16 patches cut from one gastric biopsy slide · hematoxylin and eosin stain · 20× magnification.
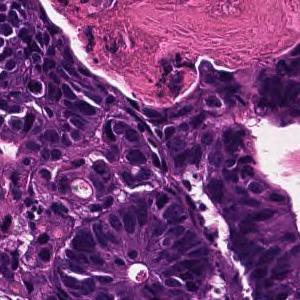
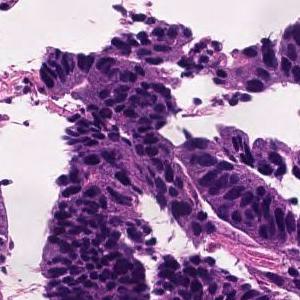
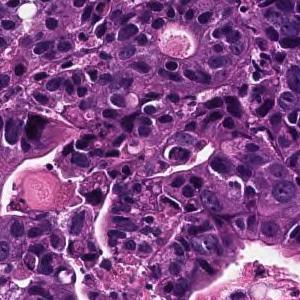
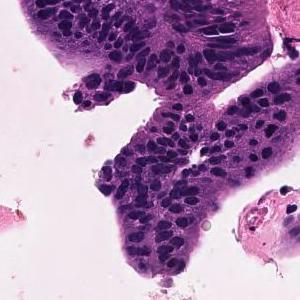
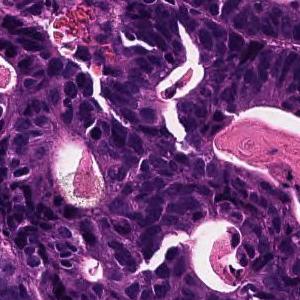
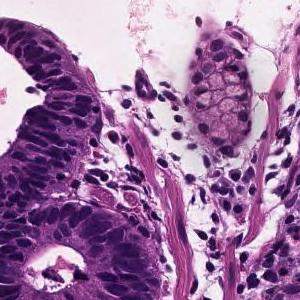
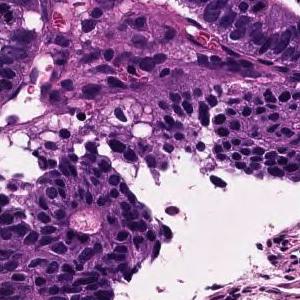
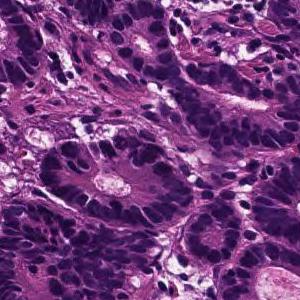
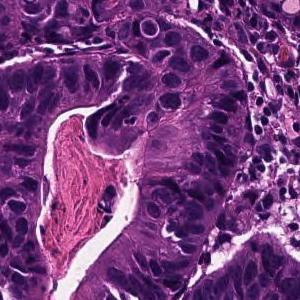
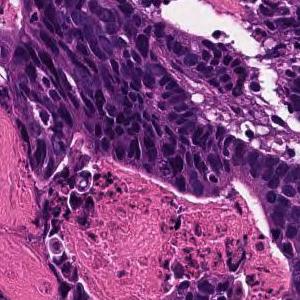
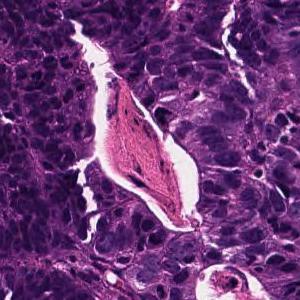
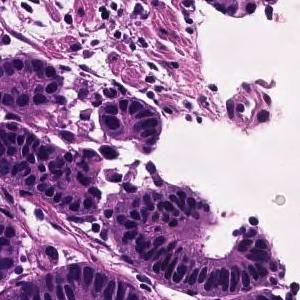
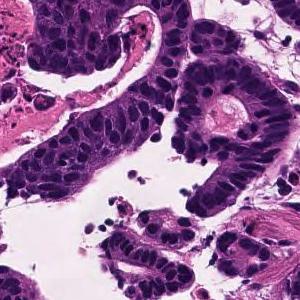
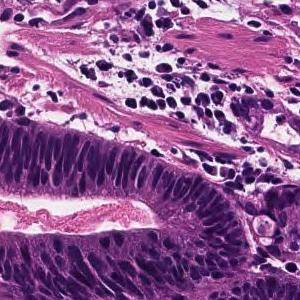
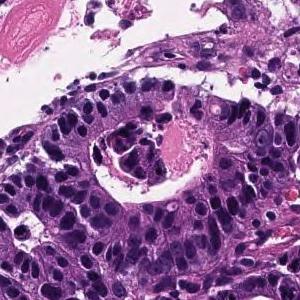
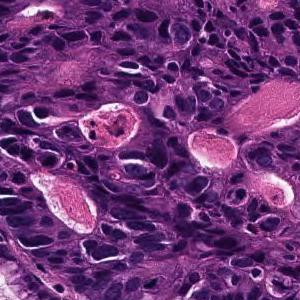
The pathologist's report on the biopsy slide these tiles were taken from. The report describes the whole slide, diagnosis included: not every finding it names need appear in these tiles, which may also show non-tumor tissue.
In the superficial epithelium, tumor tissue that invades by forming medium-sized to small, irregular ducts is observed. moderately differentiated tubular adenocarcinoma.
